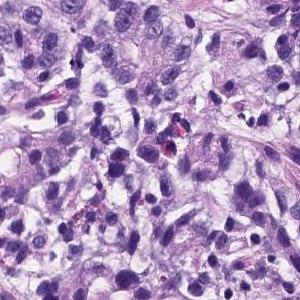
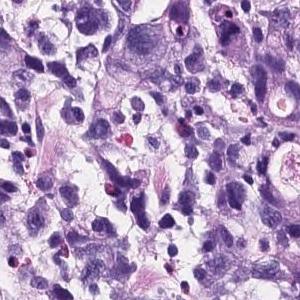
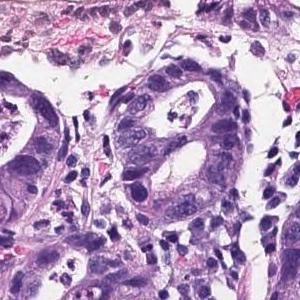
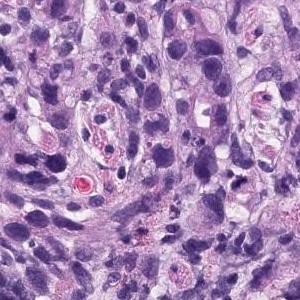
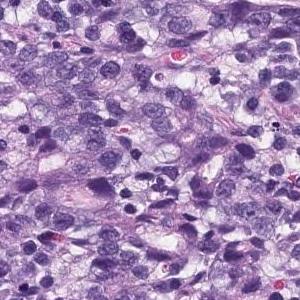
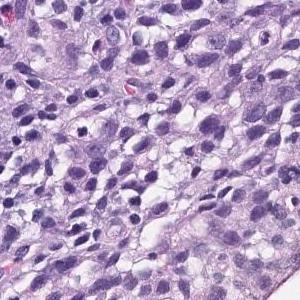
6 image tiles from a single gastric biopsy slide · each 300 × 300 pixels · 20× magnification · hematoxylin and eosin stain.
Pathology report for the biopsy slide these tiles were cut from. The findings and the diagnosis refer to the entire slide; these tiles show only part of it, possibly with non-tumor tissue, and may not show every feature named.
There are atypical l cells with atypical nuclei forming cord-like or irregular atypical ducts from solidity and proliferating in a comprehensive manner. Poorly differentiated adenocarcinoma, Moderately differentiated adenocarcinoma (poorly differentiated adenocarcinoma, solid type moderately differentiated tubular adenocarcinoma)
Histologic type: Moderately to poorly differentiated adenocarcinoma.
The term "solid type" comes from the Japanese Classification of Gastric Carcinoma; the WHO 2019 equivalent is tubular adenocarcinoma, poorly differentiated.
